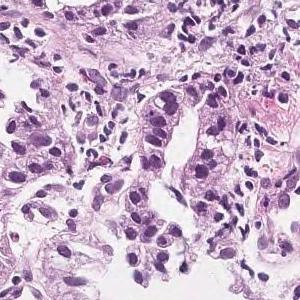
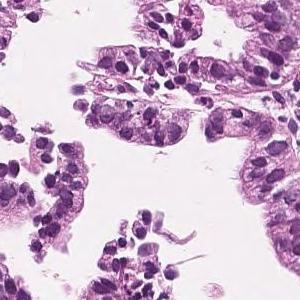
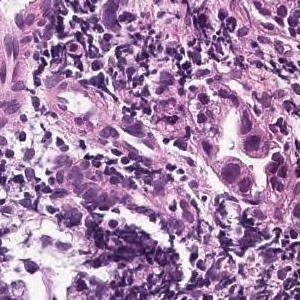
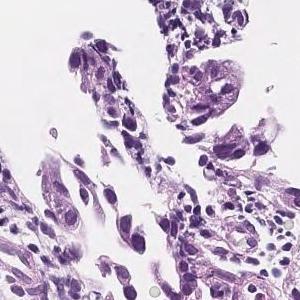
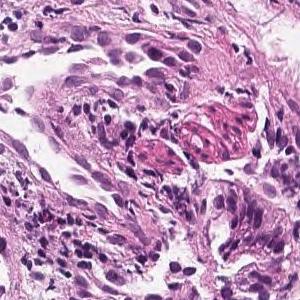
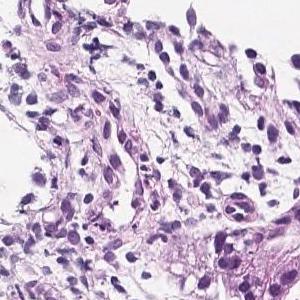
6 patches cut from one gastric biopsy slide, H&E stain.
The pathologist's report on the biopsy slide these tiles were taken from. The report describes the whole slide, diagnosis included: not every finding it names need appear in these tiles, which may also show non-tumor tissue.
In the superficial epithelium, tumor tissue that invades by forming medium-sized to small, irregular ducts is observed. moderately differentiated tubular adenocarcinoma.
